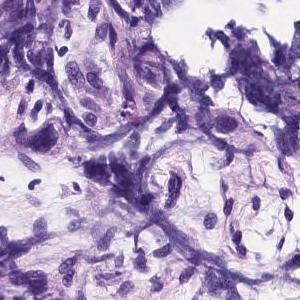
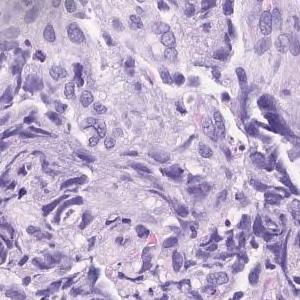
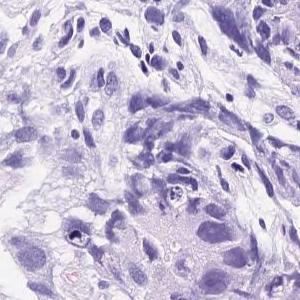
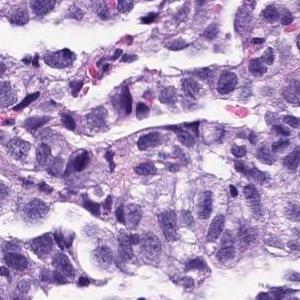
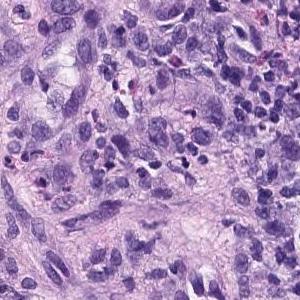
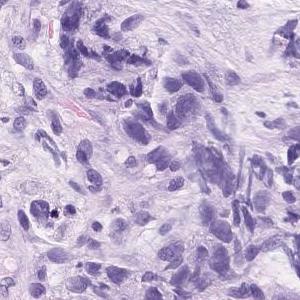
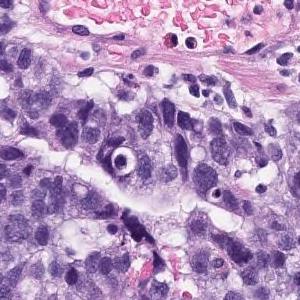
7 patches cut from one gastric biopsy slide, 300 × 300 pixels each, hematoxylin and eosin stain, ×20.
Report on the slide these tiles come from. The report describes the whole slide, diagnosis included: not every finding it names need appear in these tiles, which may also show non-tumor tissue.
Atypical epithelial cells with an increased N/C ratio proliferate and consist of a part that shows the formation of gland ducts and a part that shows solid growth. Poorly differentiated adenocarcinoma, solid-type
Histologic type: Poorly differentiated adenocarcinoma, solid type (Japanese Classification of Gastric Carcinoma). The WHO 2019 equivalent is tubular adenocarcinoma, poorly differentiated.
